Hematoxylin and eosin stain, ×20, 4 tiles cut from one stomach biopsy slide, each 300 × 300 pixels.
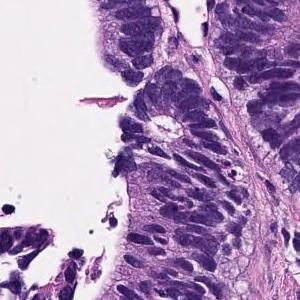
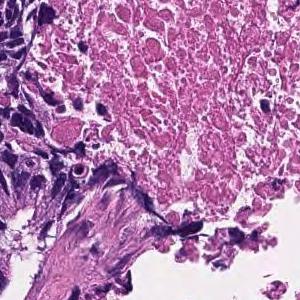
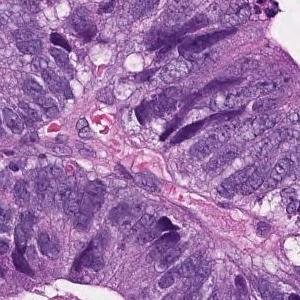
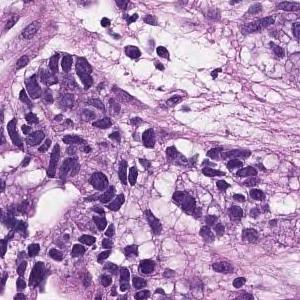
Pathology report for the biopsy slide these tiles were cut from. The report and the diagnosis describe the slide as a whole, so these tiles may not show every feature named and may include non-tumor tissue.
In the superficial epithelium, tumor tissue that invades by forming medium-sized to small, irregular ducts is observed. moderately differentiated tubular adenocarcinoma.
